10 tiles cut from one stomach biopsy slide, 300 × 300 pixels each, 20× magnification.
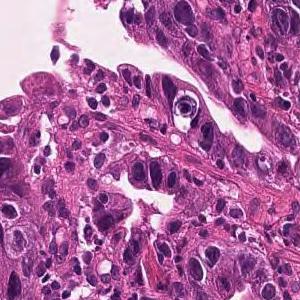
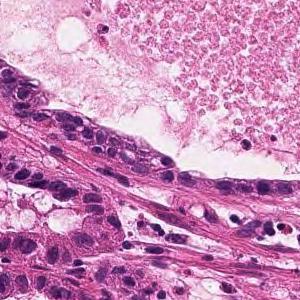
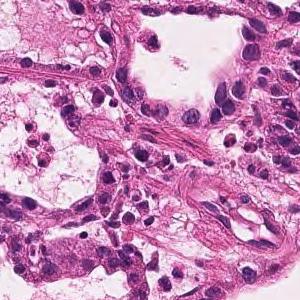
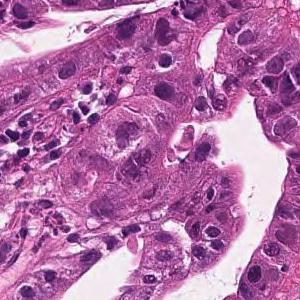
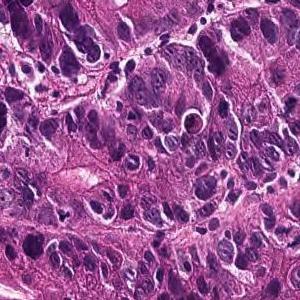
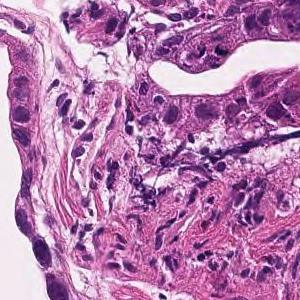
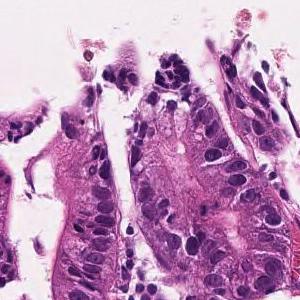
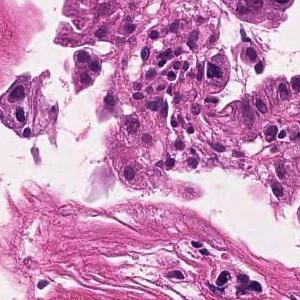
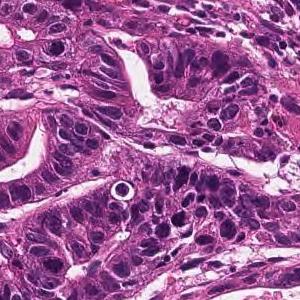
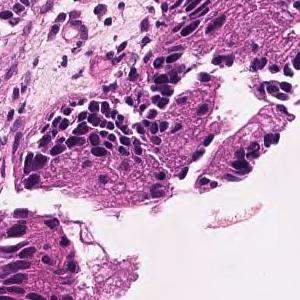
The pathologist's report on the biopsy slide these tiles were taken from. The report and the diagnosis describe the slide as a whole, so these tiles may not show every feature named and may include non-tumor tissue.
In the superficial epithelium, tumor tissue that invades by forming medium-sized to small, irregular ducts is observed. moderately differentiated tubular adenocarcinoma.
